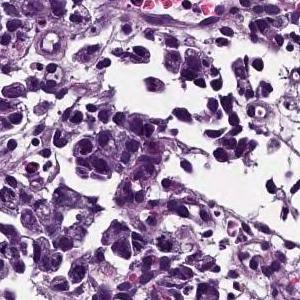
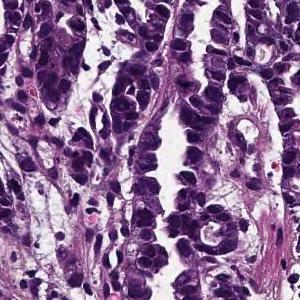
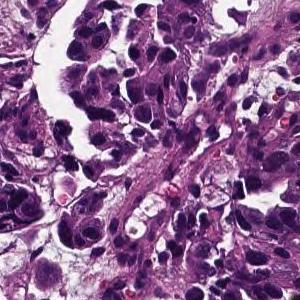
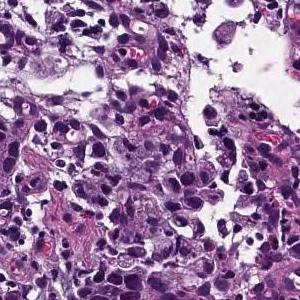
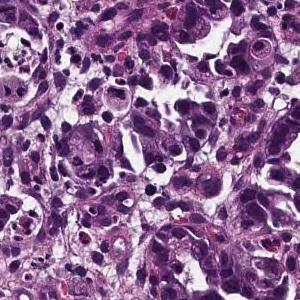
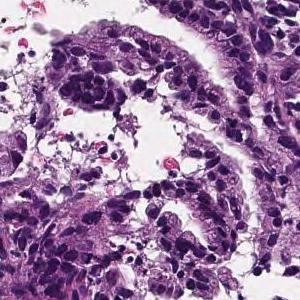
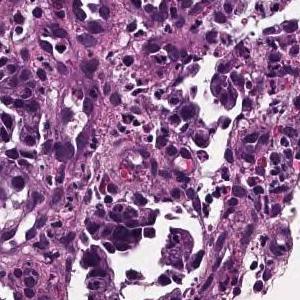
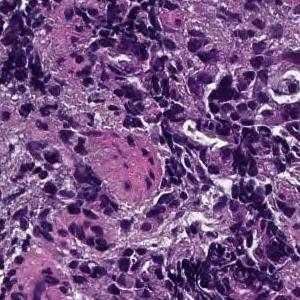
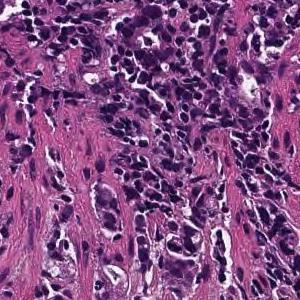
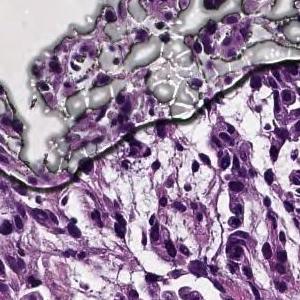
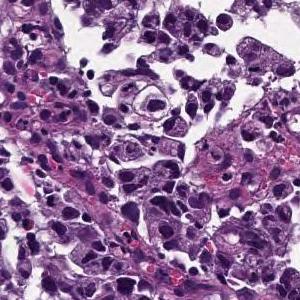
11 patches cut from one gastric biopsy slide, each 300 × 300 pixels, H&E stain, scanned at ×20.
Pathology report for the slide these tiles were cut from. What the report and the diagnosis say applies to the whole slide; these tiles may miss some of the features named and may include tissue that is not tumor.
Medium to small, irregular glandular ducts are formed in the superficial epithelium, and in some cases, the glandular ducts are fused to show solid alveolar lesions and infiltrating tumor tissue is observed. Moderately to poorly differentiated adenocarcinoma.
